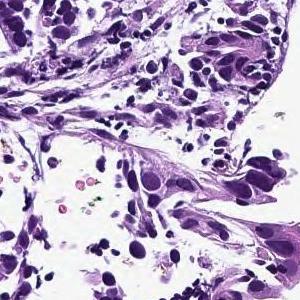
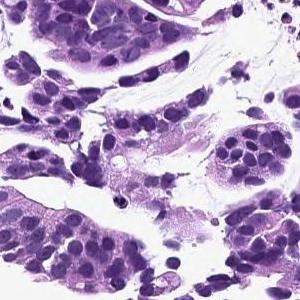
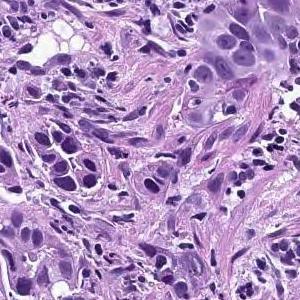
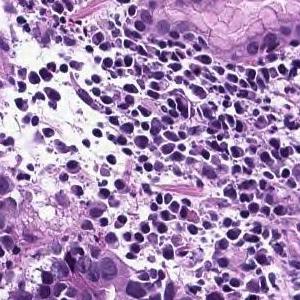
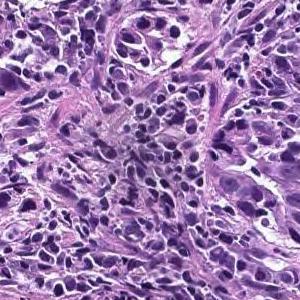
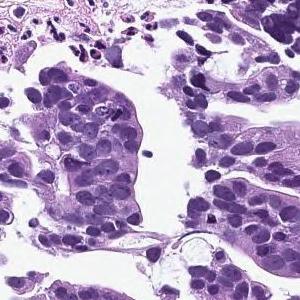
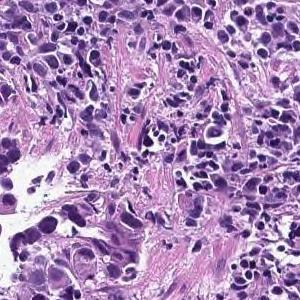
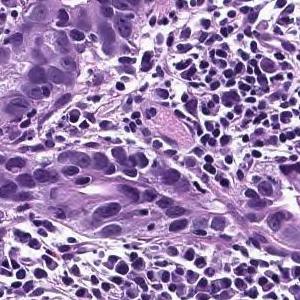
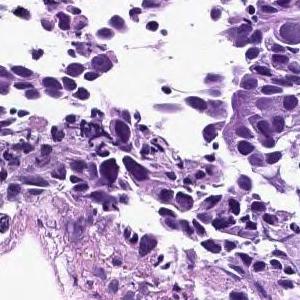
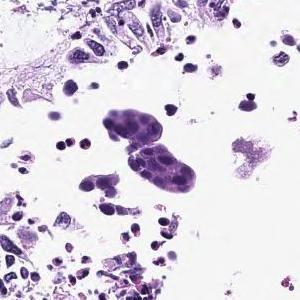
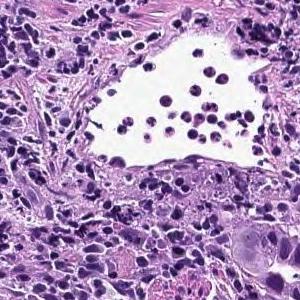
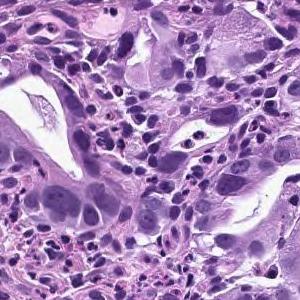
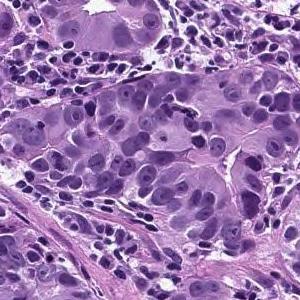
13 patches cut from one gastric biopsy slide, 300×300 px each, hematoxylin and eosin stain.
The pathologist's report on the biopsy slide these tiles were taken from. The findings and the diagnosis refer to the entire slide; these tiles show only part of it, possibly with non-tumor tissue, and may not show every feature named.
In the superficial epithelium, tumor tissue that invades by forming medium-sized to small, irregular ducts is observed. moderately differentiated tubular adenocarcinoma.
